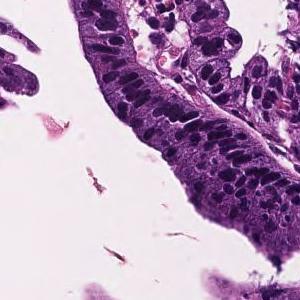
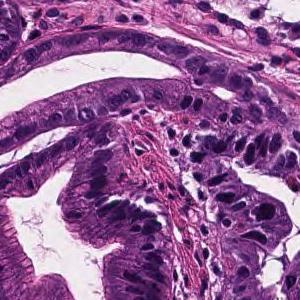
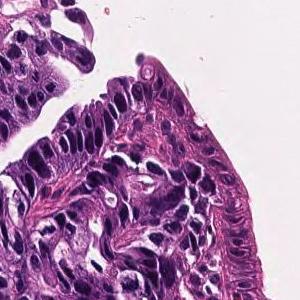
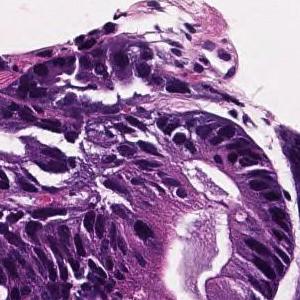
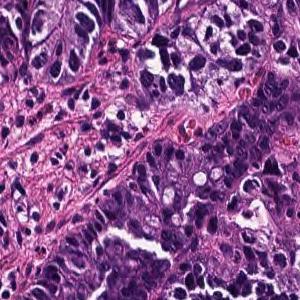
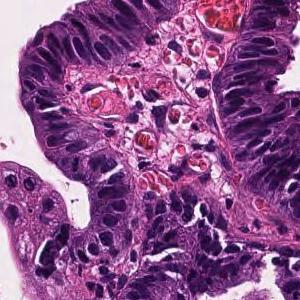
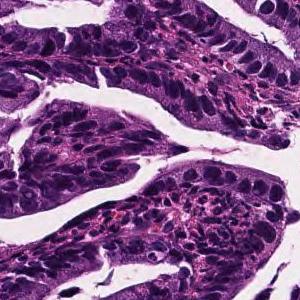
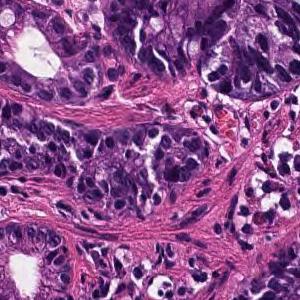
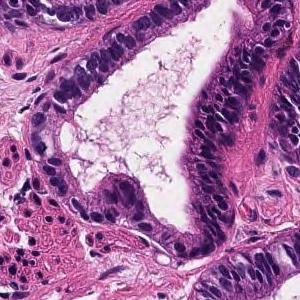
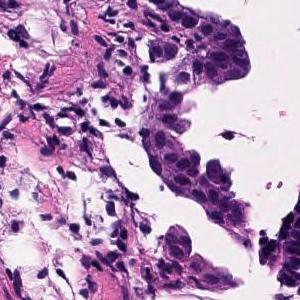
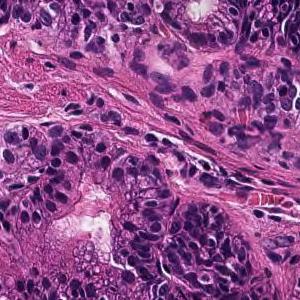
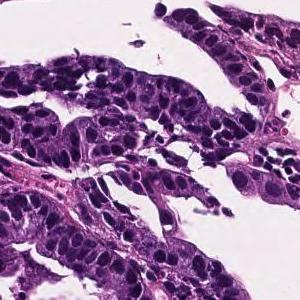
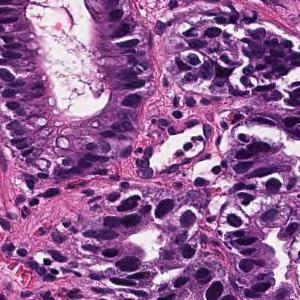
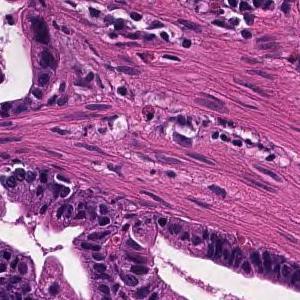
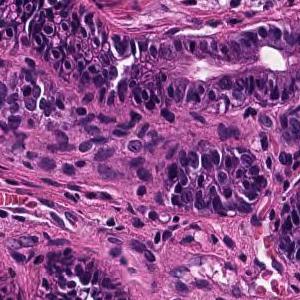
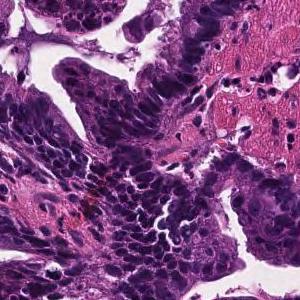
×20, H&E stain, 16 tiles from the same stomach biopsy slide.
Pathology report for the slide these tiles were cut from. The findings and the diagnosis refer to the entire slide; these tiles show only part of it, possibly with non-tumor tissue, and may not show every feature named.
Tumor cells are large, highly columnar, large club-shaped nuclei, and are associated with chromatin aggregation. Papillary adenocarcinoma.
